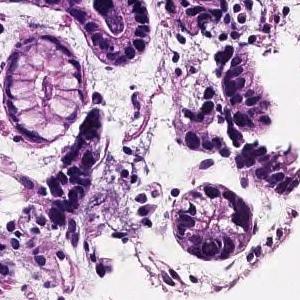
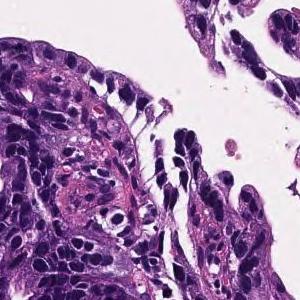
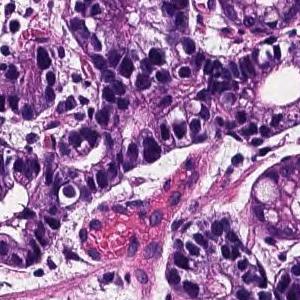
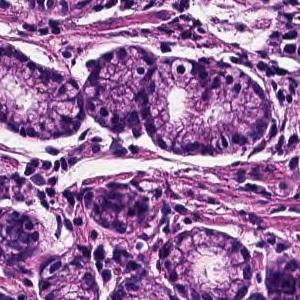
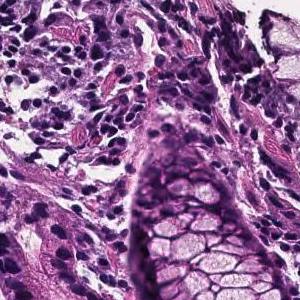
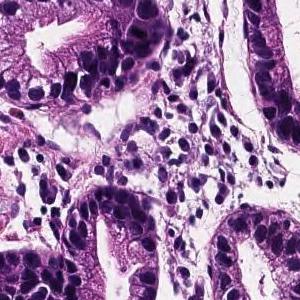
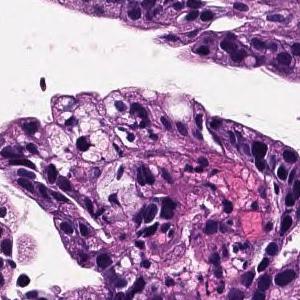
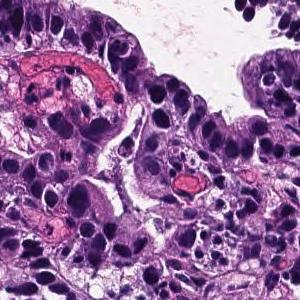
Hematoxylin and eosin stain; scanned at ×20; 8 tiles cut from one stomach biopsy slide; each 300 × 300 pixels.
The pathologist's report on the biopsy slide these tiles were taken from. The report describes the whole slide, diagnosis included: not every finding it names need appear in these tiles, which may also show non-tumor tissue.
Tumor cells are large, highly columnar, large club-shaped nuclei, and are associated with chromatin aggregation. Papillary adenocarcinoma.
